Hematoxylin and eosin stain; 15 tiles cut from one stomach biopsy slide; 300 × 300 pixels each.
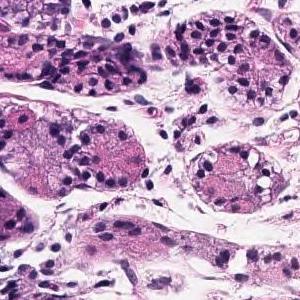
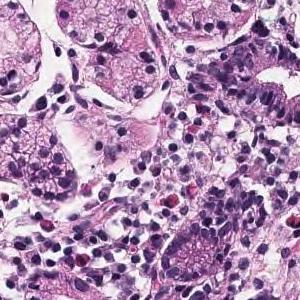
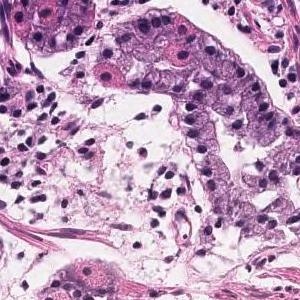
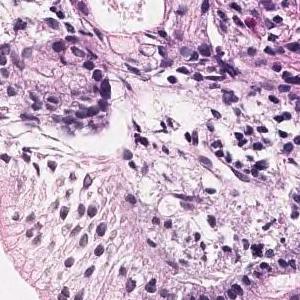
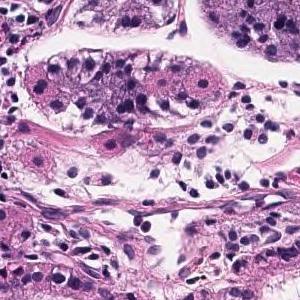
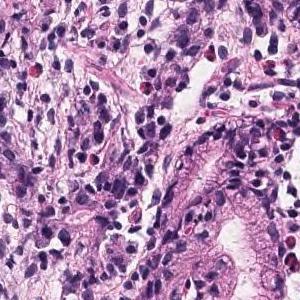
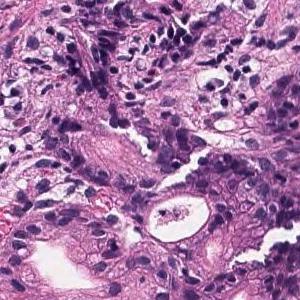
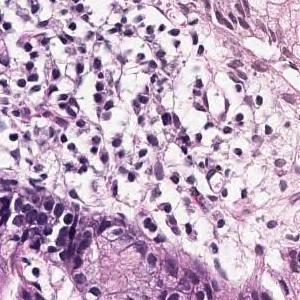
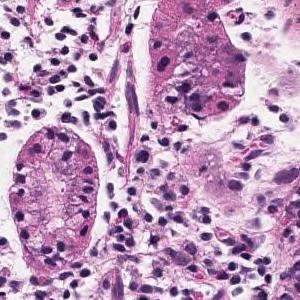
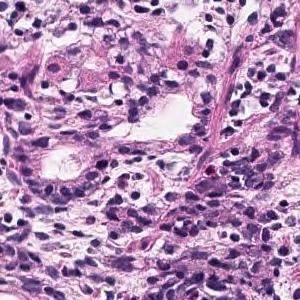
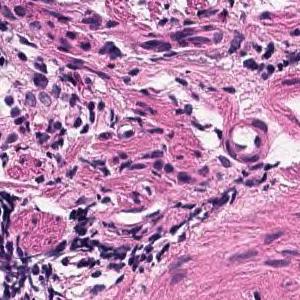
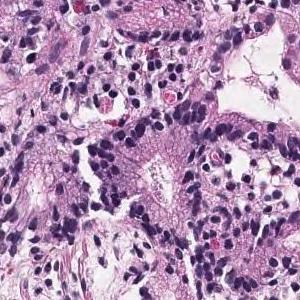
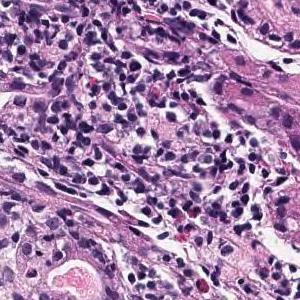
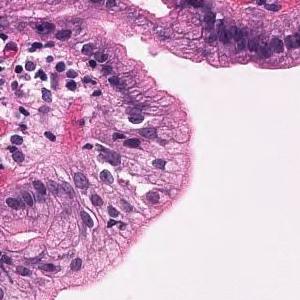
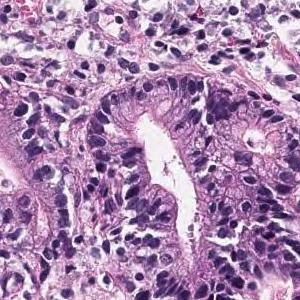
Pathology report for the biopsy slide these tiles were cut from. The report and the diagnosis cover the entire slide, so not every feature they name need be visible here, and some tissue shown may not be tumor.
Tumor tissue that grows and grows is observed, showing a medium-sized round or irregular duct. moderately differentiated tubular adenocarcinoma
